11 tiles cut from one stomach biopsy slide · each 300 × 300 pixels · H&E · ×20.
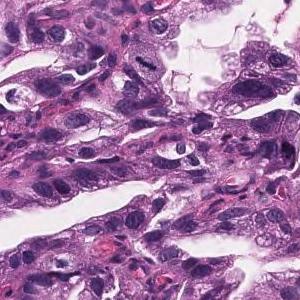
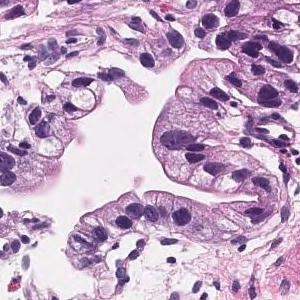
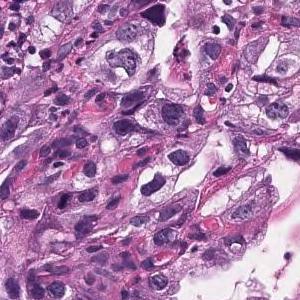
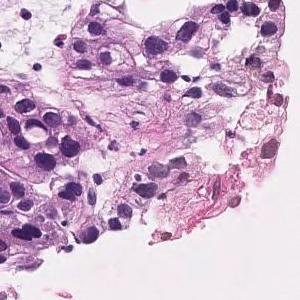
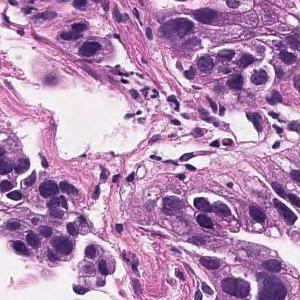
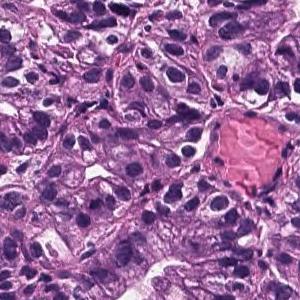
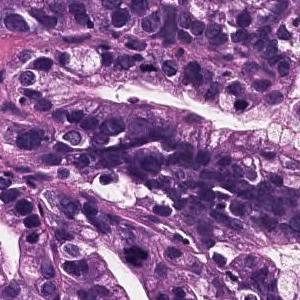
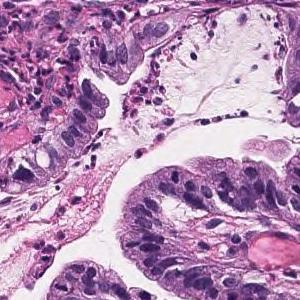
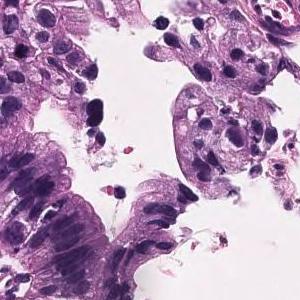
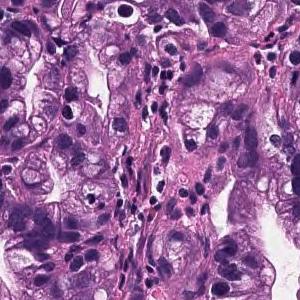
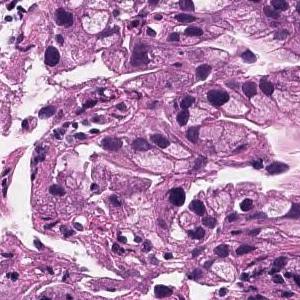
Report on the slide these tiles come from. Both the report and the diagnosis are for the whole slide: these tiles need not show every feature named, and some of the tissue shown may not be tumor.
Tumor cells are large, highly columnar, large club-shaped nuclei, and are associated with chromatin aggregation. Papillary adenocarcinoma.
